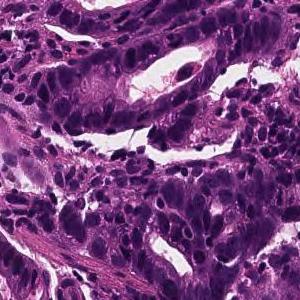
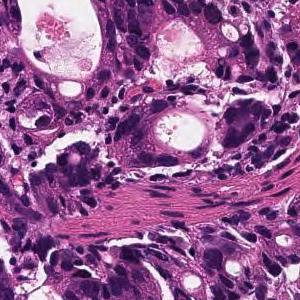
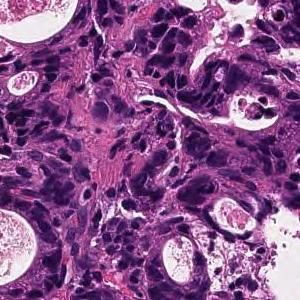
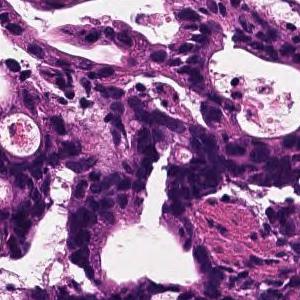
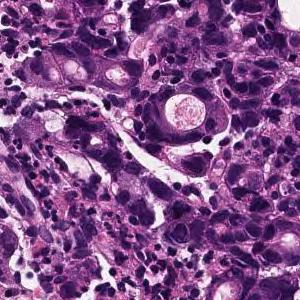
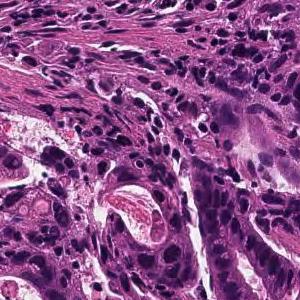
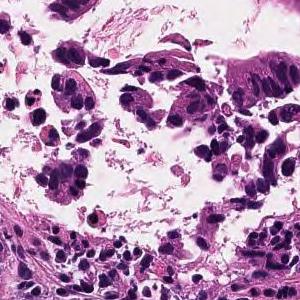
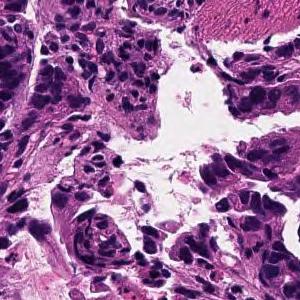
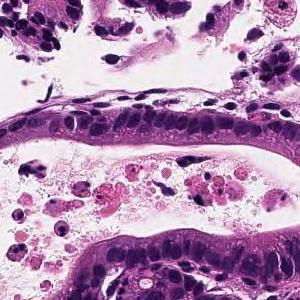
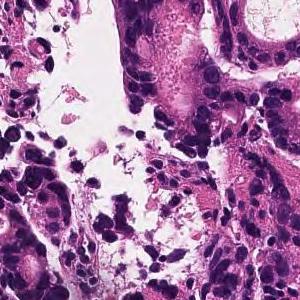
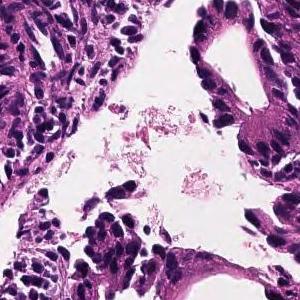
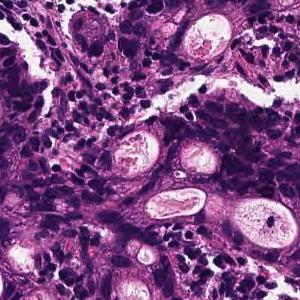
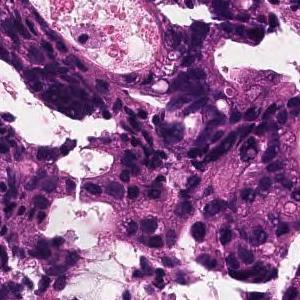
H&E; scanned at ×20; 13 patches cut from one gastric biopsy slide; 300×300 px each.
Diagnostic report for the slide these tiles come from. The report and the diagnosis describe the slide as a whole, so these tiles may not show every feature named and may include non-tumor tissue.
In the superficial epithelium, tumor tissue that invades by forming medium-sized to small, irregular ducts is observed. moderately differentiated tubular adenocarcinoma.
